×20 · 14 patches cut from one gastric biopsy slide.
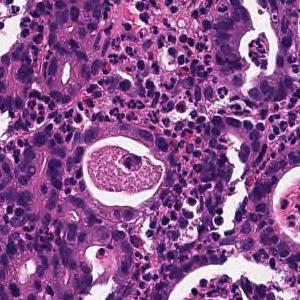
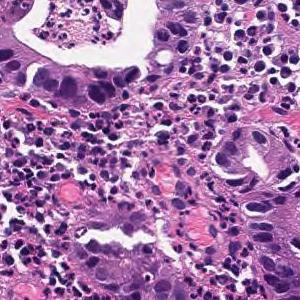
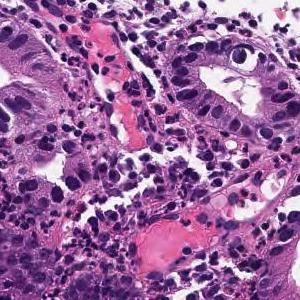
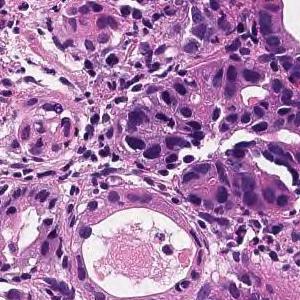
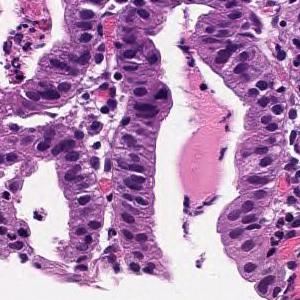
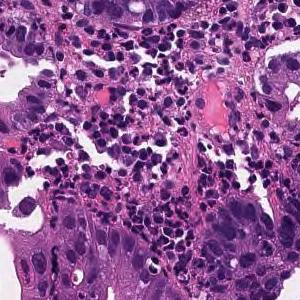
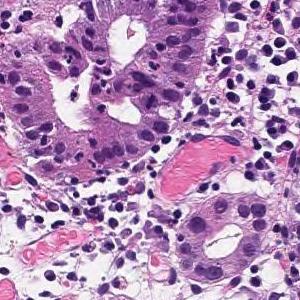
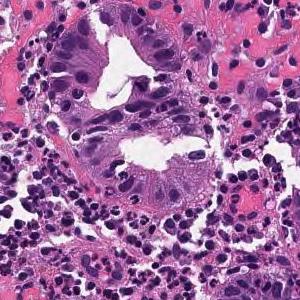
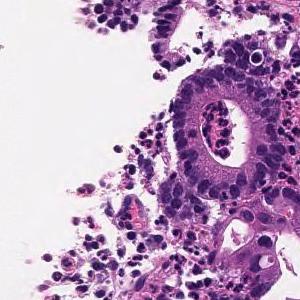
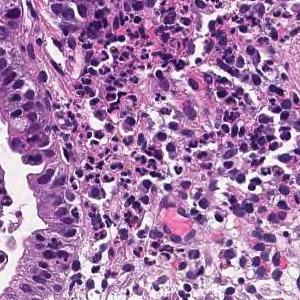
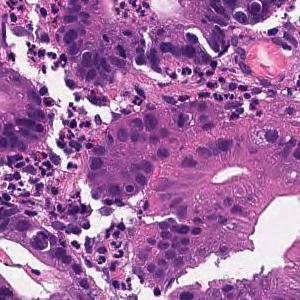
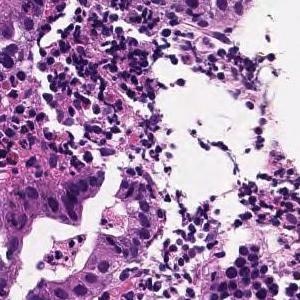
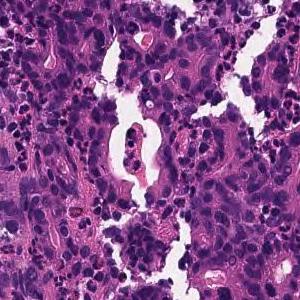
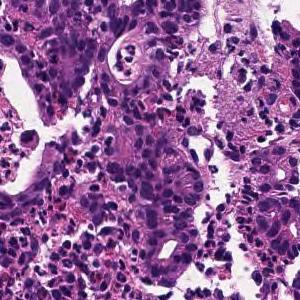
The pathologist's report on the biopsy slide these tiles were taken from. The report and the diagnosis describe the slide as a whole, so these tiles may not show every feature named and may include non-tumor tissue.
In the superficial epithelium, tumor tissue that invades by forming medium-sized to small, irregular ducts is observed. moderately differentiated tubular adenocarcinoma.
